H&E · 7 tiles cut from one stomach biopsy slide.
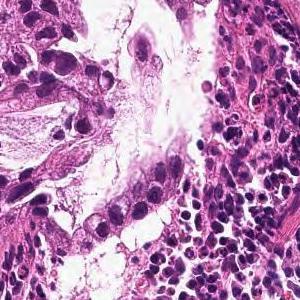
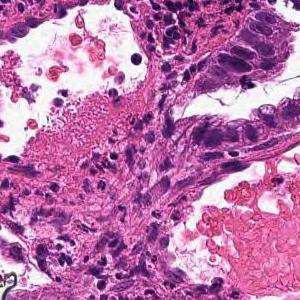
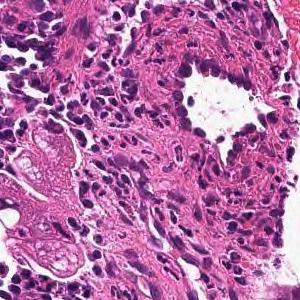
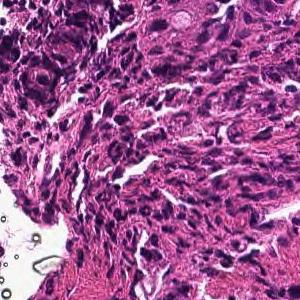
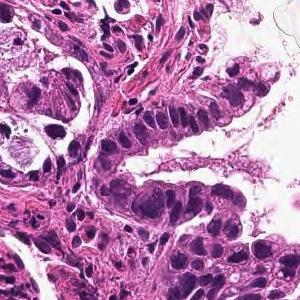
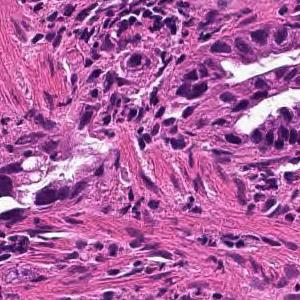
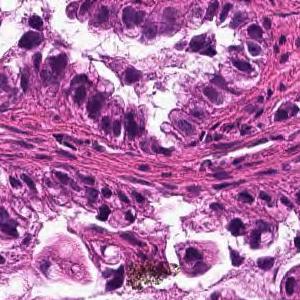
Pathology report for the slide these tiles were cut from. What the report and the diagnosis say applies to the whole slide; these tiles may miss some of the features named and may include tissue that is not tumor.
From the superficial epithelium to the muscularis mucosae, tumor tissue infiltrating by forming medium-sized irregular gland ducts is observed. Well differentiated tubular adenocarcinoma
